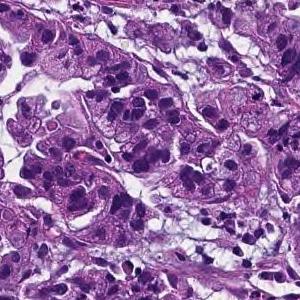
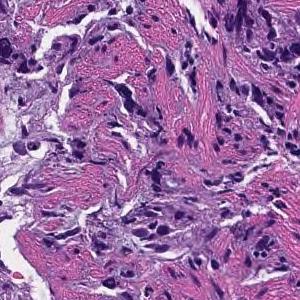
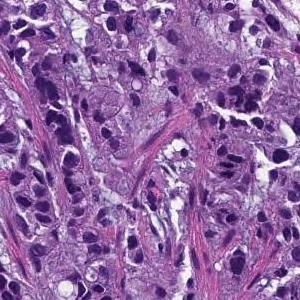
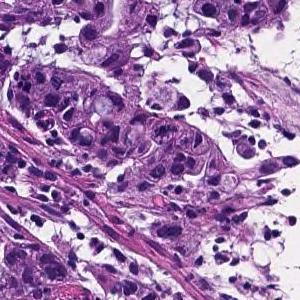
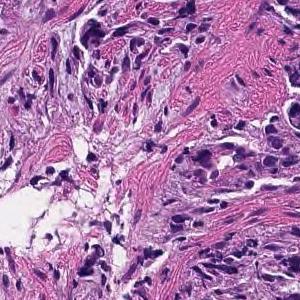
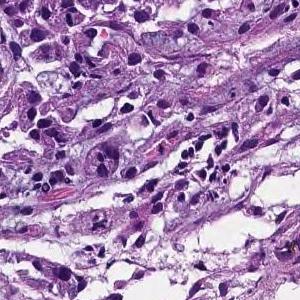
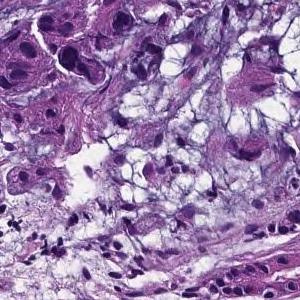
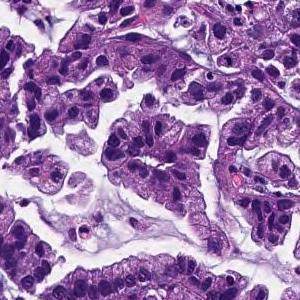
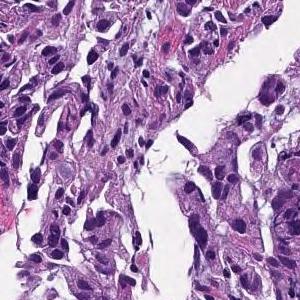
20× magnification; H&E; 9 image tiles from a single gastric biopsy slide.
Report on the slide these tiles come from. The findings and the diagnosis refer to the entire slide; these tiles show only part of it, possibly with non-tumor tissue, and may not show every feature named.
Tumor tissue consisting of medium-sized, cord-like or irregular glandular infiltration is observed in the superficial epithelium. Poorly differentiated adenocarcinoma, non-solid type or moderately differentiated tubular adenocarcinoma
Histologic type: Moderately to poorly differentiated adenocarcinoma.
The term "non-solid type" comes from the Japanese Classification of Gastric Carcinoma.
